Hematoxylin and eosin stain · 7 tiles from the same stomach biopsy slide · 300×300 px each.
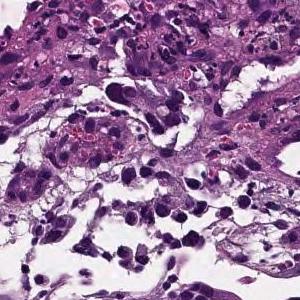
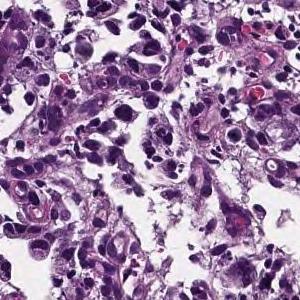
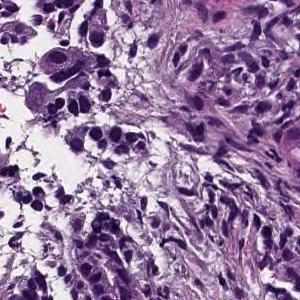
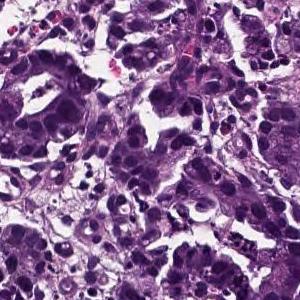
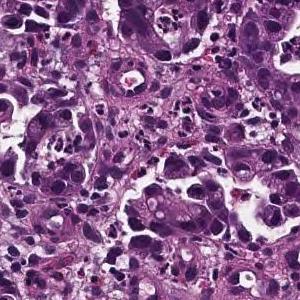
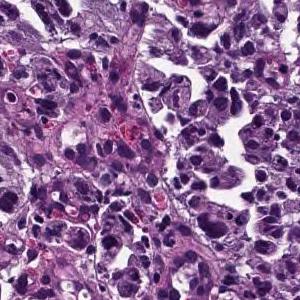
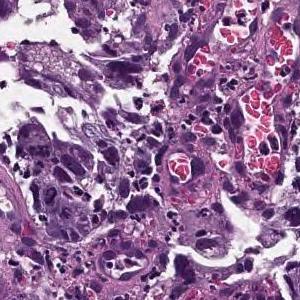
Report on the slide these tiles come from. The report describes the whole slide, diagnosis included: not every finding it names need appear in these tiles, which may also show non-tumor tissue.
Medium to small, irregular glandular ducts are formed in the superficial epithelium, and in some cases, the glandular ducts are fused to show solid alveolar lesions and infiltrating tumor tissue is observed. Moderately to poorly differentiated adenocarcinoma.
